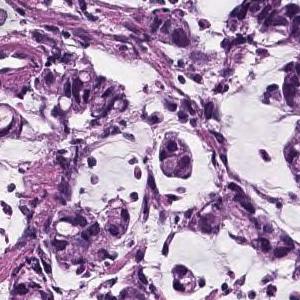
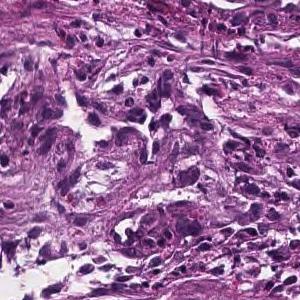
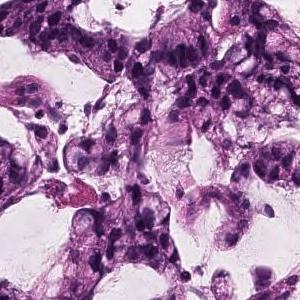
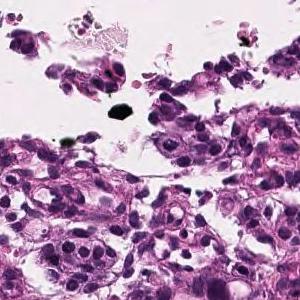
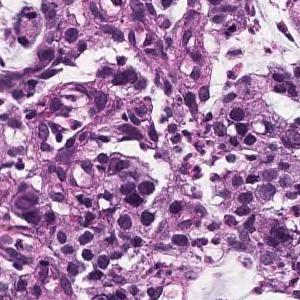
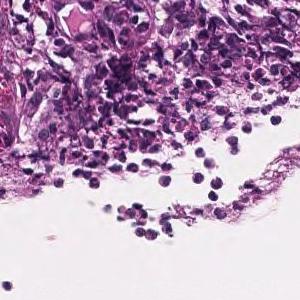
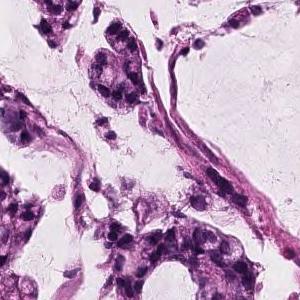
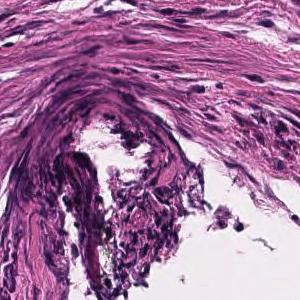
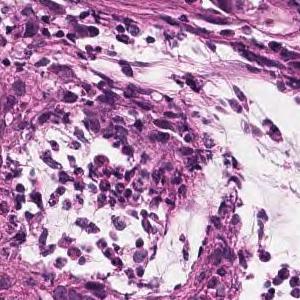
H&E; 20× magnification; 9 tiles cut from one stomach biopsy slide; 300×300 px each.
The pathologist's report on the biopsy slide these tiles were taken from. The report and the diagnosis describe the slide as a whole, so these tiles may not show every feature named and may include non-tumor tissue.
Atypical epithelial cells form obscure ductal structures or small solid follicles, and tumor tissue that proliferates invasively with proliferation of inflammatory granulation tissue is observed. Mucinous adenocarcinoma .
